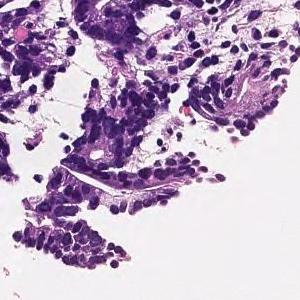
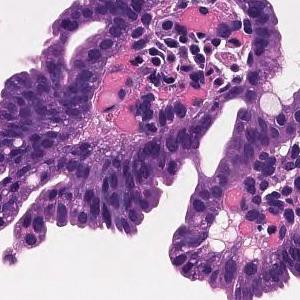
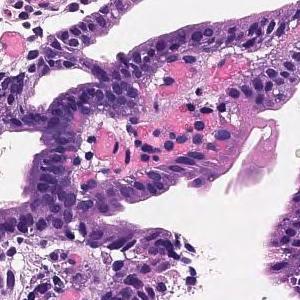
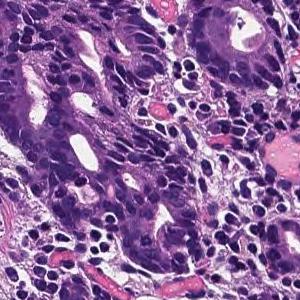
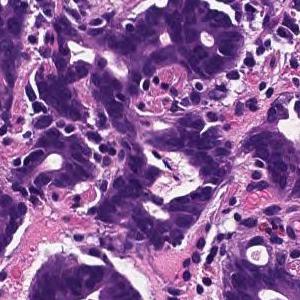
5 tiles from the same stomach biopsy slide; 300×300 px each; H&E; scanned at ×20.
The pathologist's report on the biopsy slide these tiles were taken from. The report and the diagnosis cover the entire slide, so not every feature they name need be visible here, and some tissue shown may not be tumor.
On the superficial epithelium, tumor tissue is found in which medium-sized irregular gland ducts fuse with each other and infiltrate. moderately differentiated tubular adenocarcinoma
